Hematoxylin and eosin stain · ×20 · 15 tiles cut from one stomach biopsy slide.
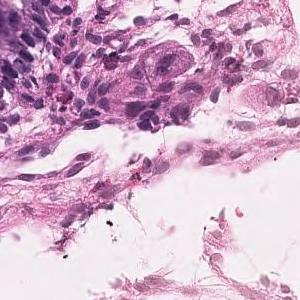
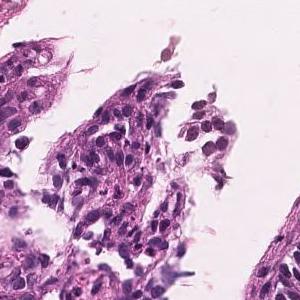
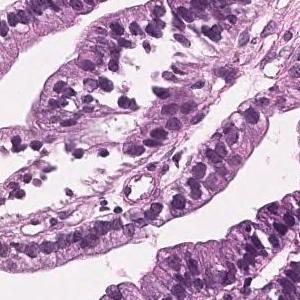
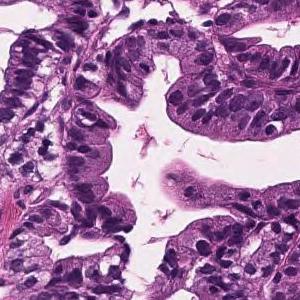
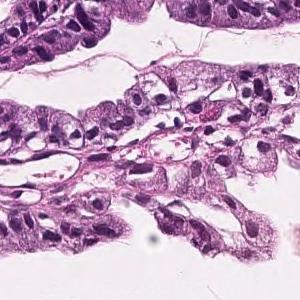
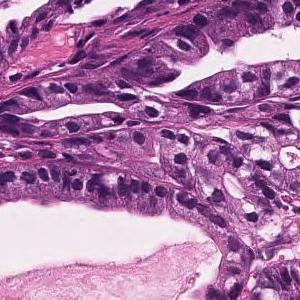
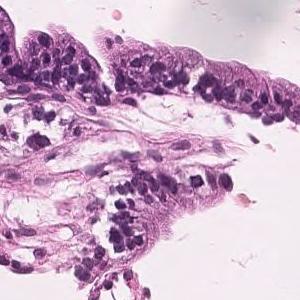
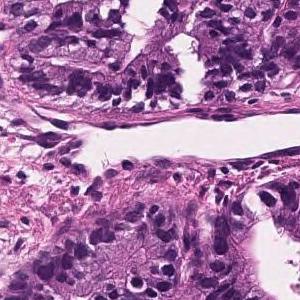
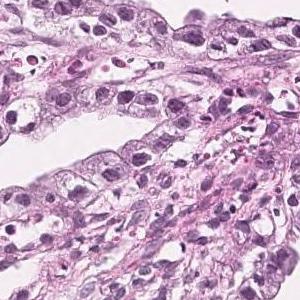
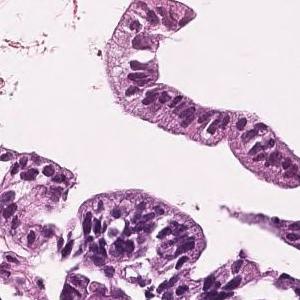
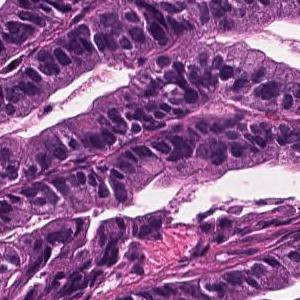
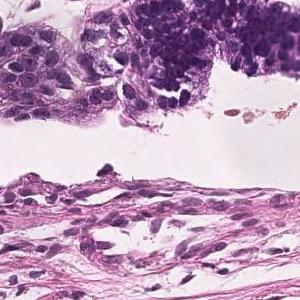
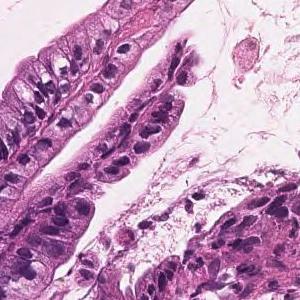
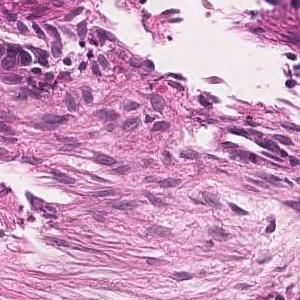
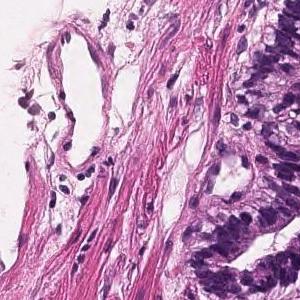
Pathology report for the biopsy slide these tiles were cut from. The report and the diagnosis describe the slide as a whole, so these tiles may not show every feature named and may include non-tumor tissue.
Tumor cells are large, highly columnar, large club-shaped nuclei, and are associated with chromatin aggregation. Papillary adenocarcinoma.
